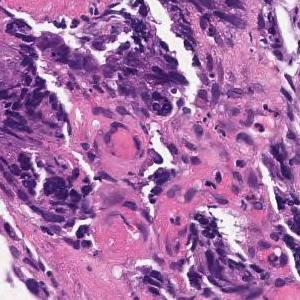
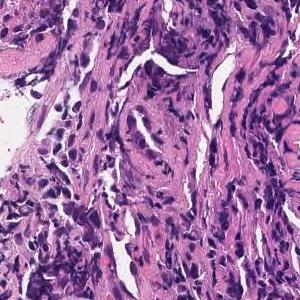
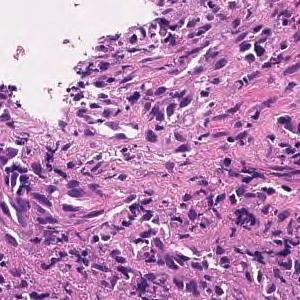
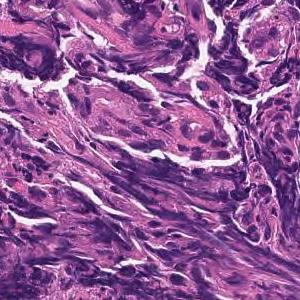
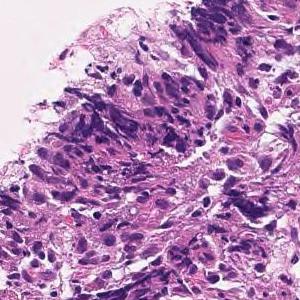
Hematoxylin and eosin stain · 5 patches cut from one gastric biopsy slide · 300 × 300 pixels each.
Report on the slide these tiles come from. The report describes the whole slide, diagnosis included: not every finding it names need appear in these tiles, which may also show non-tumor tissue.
Tumor tissue consisting of medium-sized, cord-like or irregular glandular infiltration is observed in the superficial epithelium. Poorly differentiated adenocarcinoma, non-solid type or moderately differentiated tubular adenocarcinoma
Classified as moderately to poorly differentiated adenocarcinoma.
The non-solid type named here is a Japanese Classification of Gastric Carcinoma category.
